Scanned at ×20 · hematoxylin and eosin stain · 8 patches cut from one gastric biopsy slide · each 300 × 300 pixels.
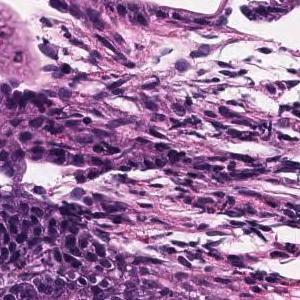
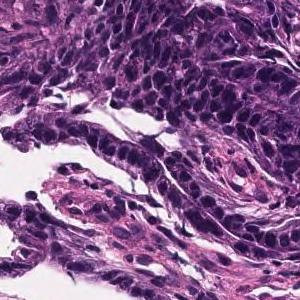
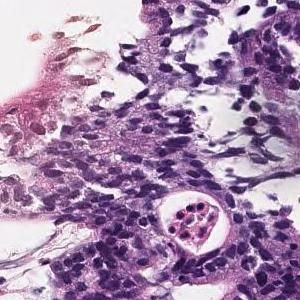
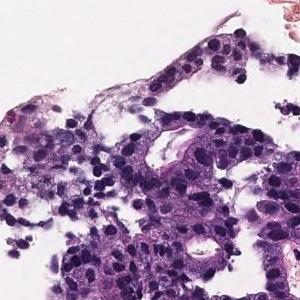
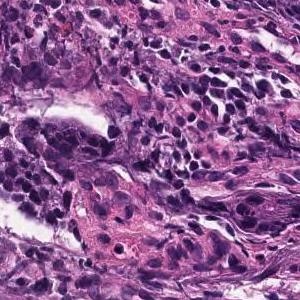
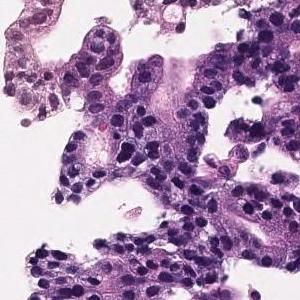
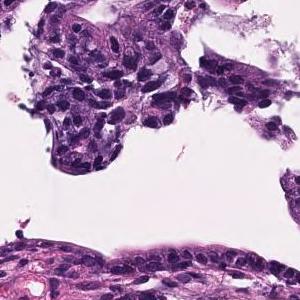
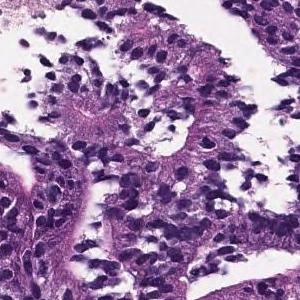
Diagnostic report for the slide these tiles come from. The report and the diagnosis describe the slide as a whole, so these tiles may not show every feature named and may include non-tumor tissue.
The outermost layer of the gastric mucosa shows an irregular bridging pattern and atypical epithelium that proliferates in a papillary manner. moderately differentiated tubular adenocarcinoma, Papillary adenocarcinoma
Labeled in the dataset as moderately differentiated tubular adenocarcinoma.
